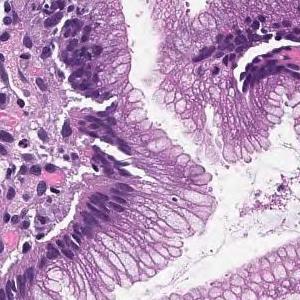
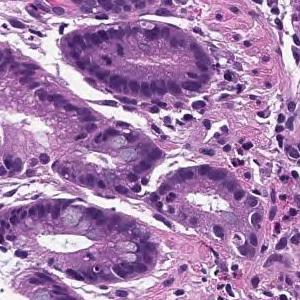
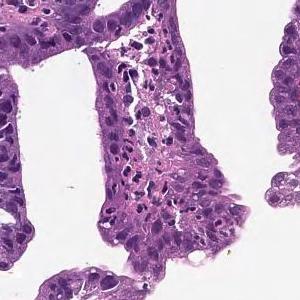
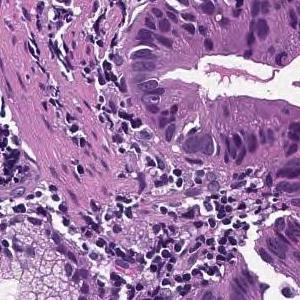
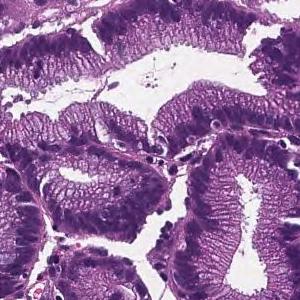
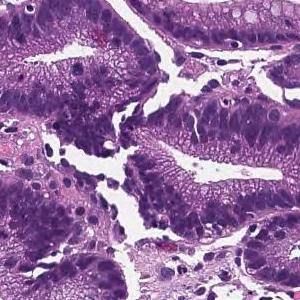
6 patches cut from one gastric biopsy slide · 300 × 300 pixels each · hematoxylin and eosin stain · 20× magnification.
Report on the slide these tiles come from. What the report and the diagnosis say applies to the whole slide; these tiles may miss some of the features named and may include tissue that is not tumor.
From the superficial epithelium to the muscularis mucosae, tumor tissue consisting of medium-sized and irregular glandular ducts infiltrating is observed. Well differentiated tubular adenocarcinoma
